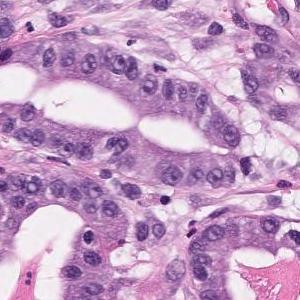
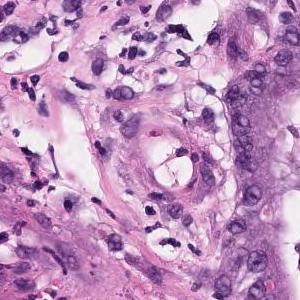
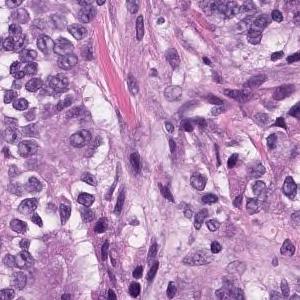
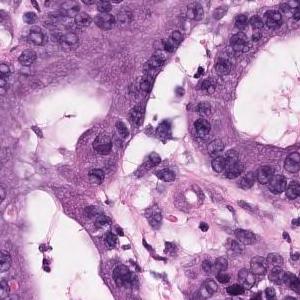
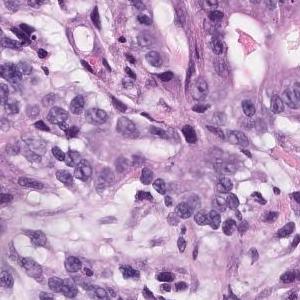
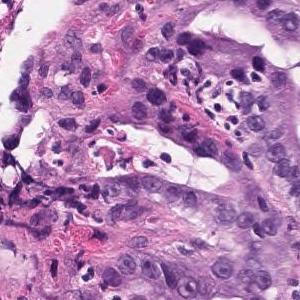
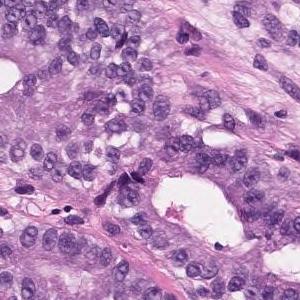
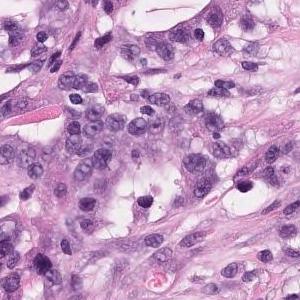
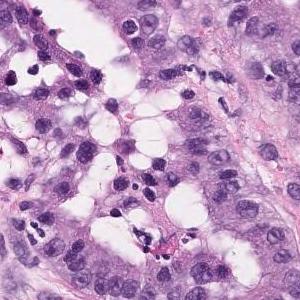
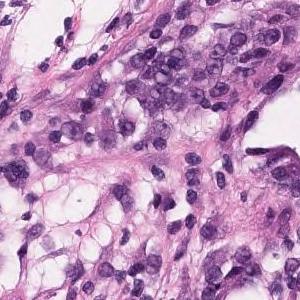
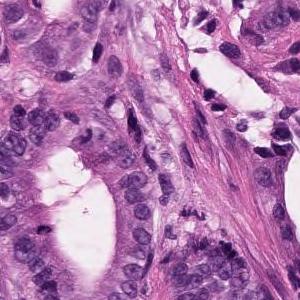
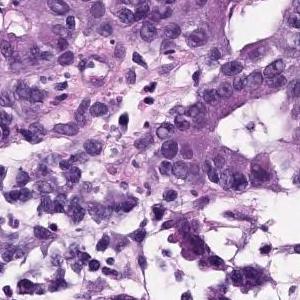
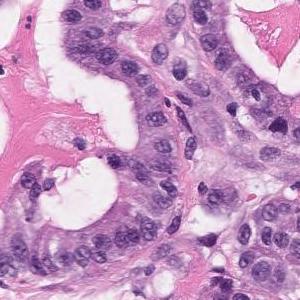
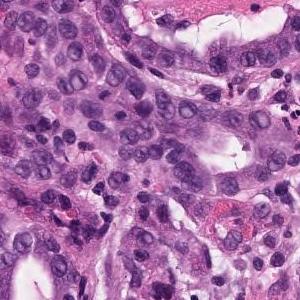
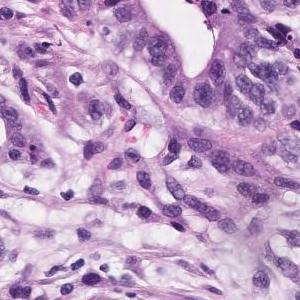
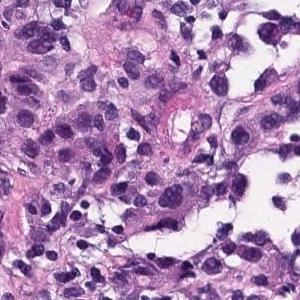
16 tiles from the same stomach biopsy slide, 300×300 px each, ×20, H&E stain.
The pathologist's report on the biopsy slide these tiles were taken from. The report and the diagnosis describe the slide as a whole, so these tiles may not show every feature named and may include non-tumor tissue.
In the superficial epithelium, tumor tissue that invades by forming medium-sized to small, irregular ducts is observed. Moderately differentiated adenocarcinoma.
Subtype: Moderately differentiated tubular adenocarcinoma.
